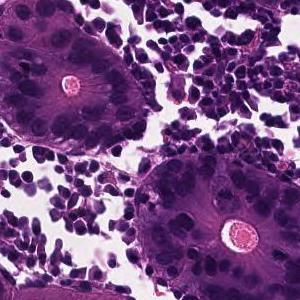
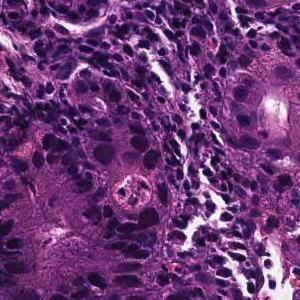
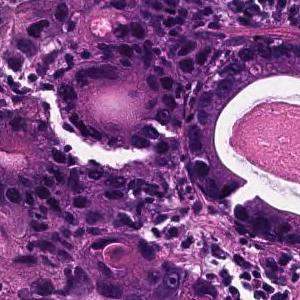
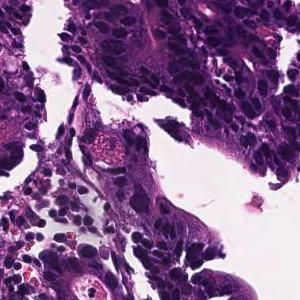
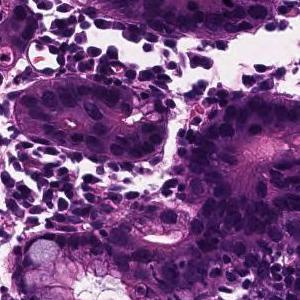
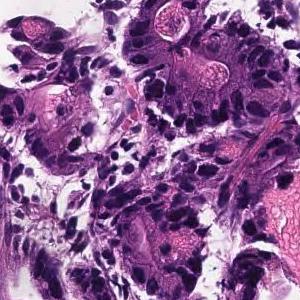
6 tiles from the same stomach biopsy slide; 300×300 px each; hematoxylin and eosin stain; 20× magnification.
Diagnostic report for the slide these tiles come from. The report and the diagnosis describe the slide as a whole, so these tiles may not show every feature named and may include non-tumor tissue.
From the superficial epithelium to the muscularis mucosae, tumor tissue infiltrating by forming medium-sized irregular gland ducts is observed. Large tumor cells exhibit large nucleus and hyperchromatism. Well differentiated tubular adenocarcinoma
